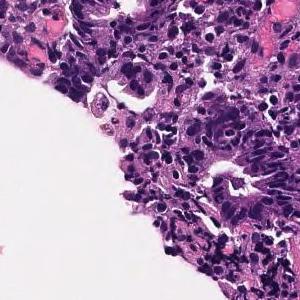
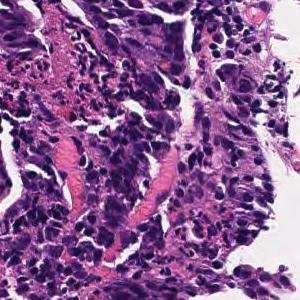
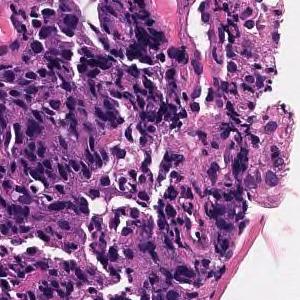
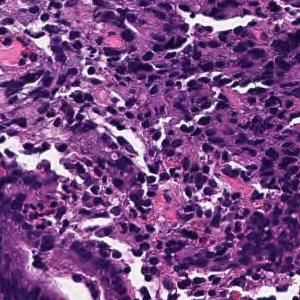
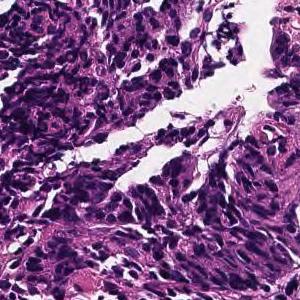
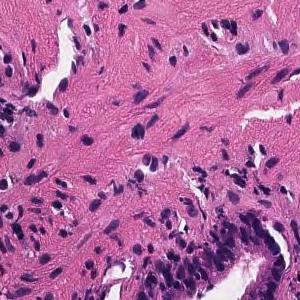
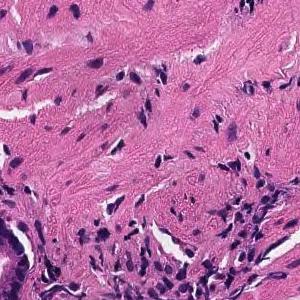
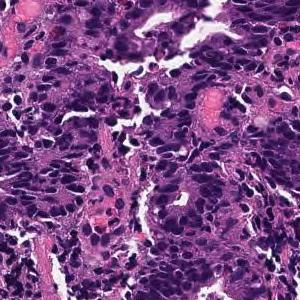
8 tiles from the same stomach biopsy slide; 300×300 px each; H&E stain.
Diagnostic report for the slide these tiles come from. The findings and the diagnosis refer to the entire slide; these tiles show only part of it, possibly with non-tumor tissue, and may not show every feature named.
In the superficial epithelium, tumor tissue that invades by forming medium-sized to small, irregular ducts is observed. moderately differentiated tubular adenocarcinoma.
